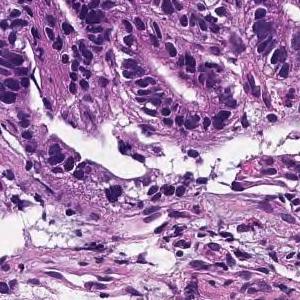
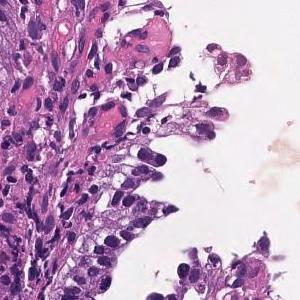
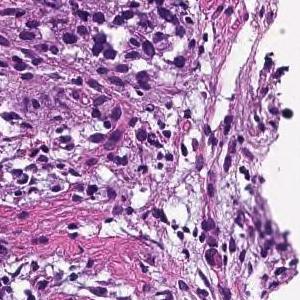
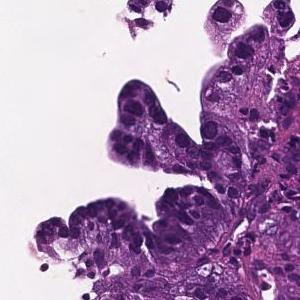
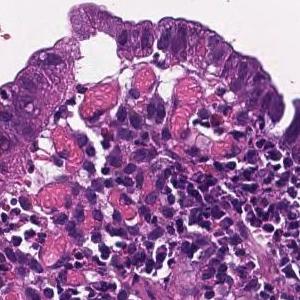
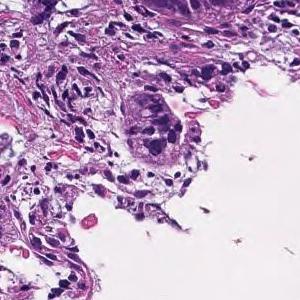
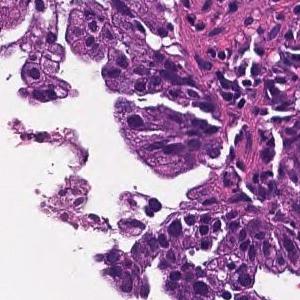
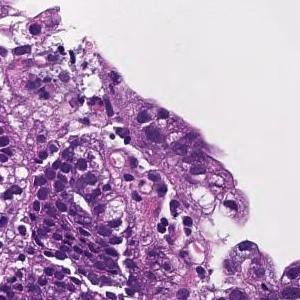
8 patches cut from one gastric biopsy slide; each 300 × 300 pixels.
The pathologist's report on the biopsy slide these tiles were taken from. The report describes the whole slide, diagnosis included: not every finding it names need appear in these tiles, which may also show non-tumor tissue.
From the superficial epithelium to the muscularis mucosae, tumor tissue consisting of medium-sized and irregular glandular ducts infiltrating is observed. Well differentiated tubular adenocarcinoma
